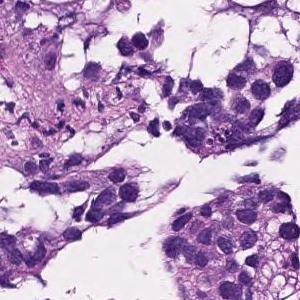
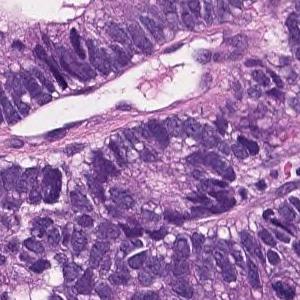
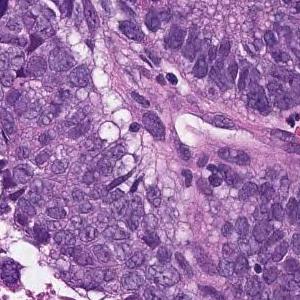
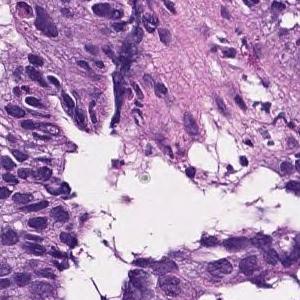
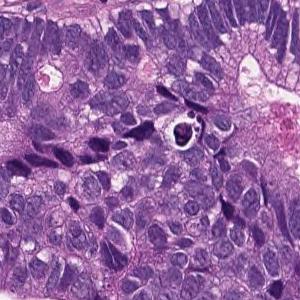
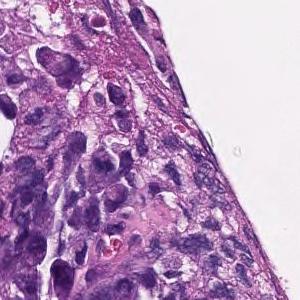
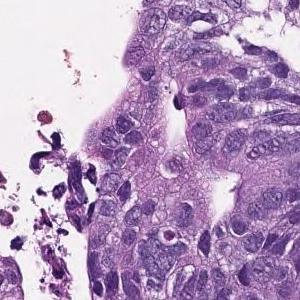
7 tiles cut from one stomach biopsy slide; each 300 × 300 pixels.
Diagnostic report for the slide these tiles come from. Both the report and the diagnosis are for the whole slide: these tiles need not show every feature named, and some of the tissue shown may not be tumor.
In the superficial epithelium, tumor tissue that invades by forming medium-sized to small, irregular ducts is observed. moderately differentiated tubular adenocarcinoma.
